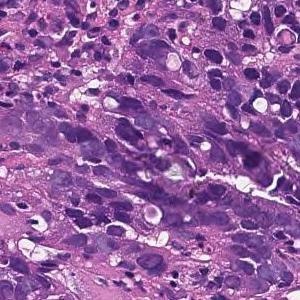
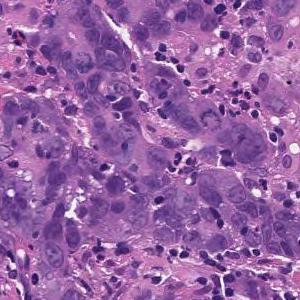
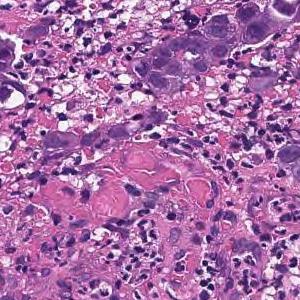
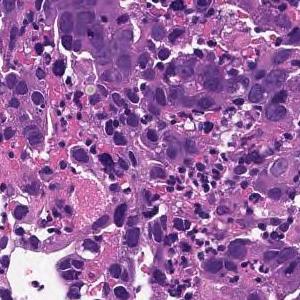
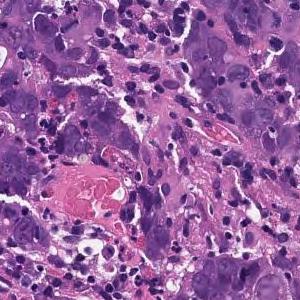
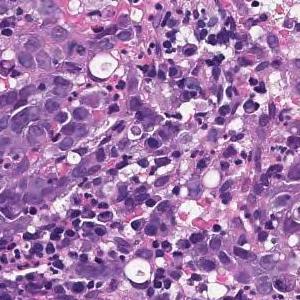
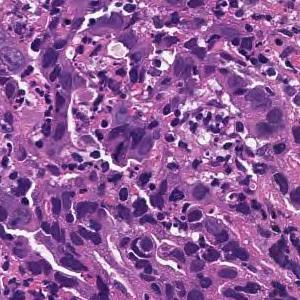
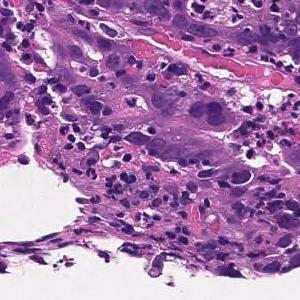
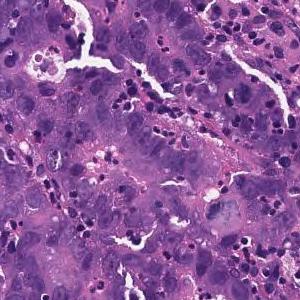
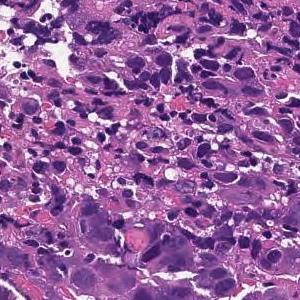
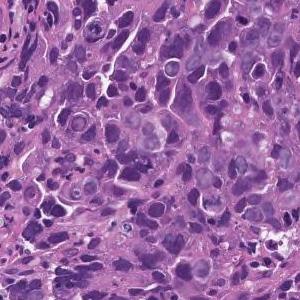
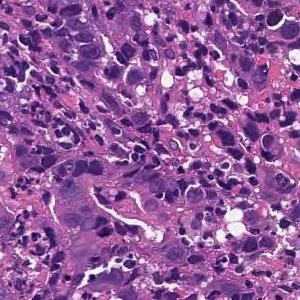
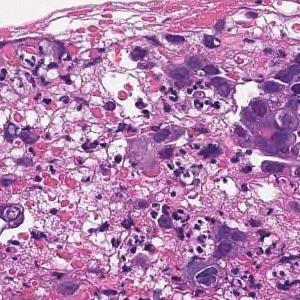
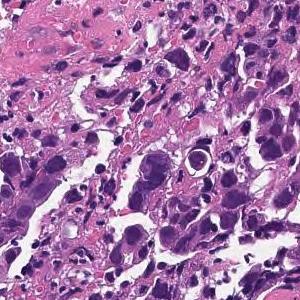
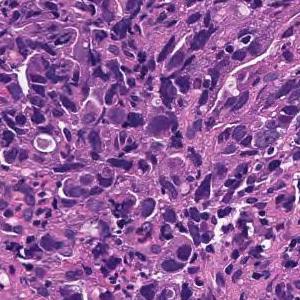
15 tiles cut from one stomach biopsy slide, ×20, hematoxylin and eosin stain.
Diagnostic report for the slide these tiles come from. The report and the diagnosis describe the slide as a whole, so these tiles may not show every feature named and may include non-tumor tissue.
Tumor tissue consisting of cord-like or small, irregular glandular ducts fused and infiltrated is observed in the superficial epithelium. Poorly differentiated adenocarcinoma, non-solid type
"Non-solid type" is a category of the Japanese Classification of Gastric Carcinoma.
